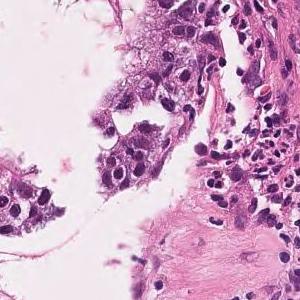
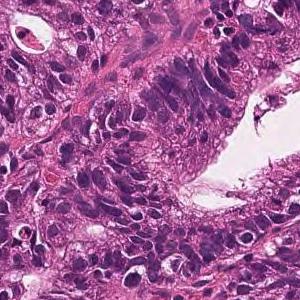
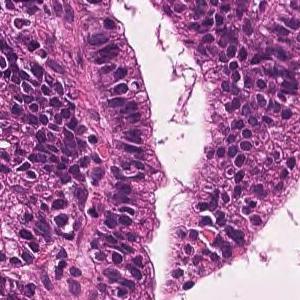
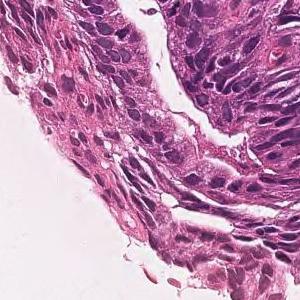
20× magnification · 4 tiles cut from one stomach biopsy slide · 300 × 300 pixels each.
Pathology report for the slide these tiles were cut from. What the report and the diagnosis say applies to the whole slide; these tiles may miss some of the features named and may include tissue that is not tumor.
On the superficial epithelium, tumor tissue consisting of large, irregular glandular ducts partially fused and infiltrated is observed. Well to moderately differentiated tubular adenocarcinoma (well differentiated tubular adenocarcinoma, moderately differentiated tubular adenocarcinoma)
Histologic type: Well to moderately differentiated tubular adenocarcinoma.
